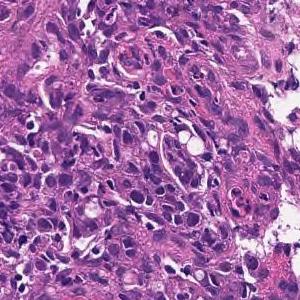
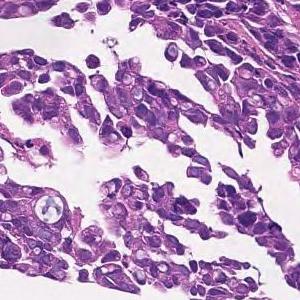
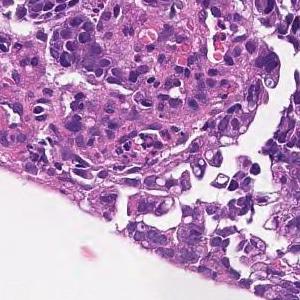
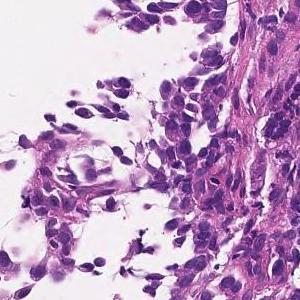
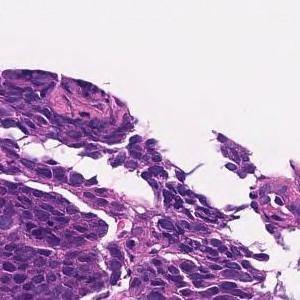
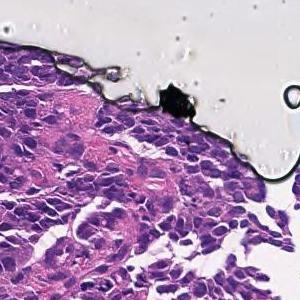
6 tiles cut from one stomach biopsy slide, ×20, H&E stain.
Report on the slide these tiles come from. Both the report and the diagnosis are for the whole slide: these tiles need not show every feature named, and some of the tissue shown may not be tumor.
Tumor tissue consisting of cord-like or small, irregular glandular ducts fused and infiltrated is observed in the superficial epithelium. Poorly differentiated adenocarcinoma, non-solid type
The non-solid type named here is a Japanese Classification of Gastric Carcinoma category.
